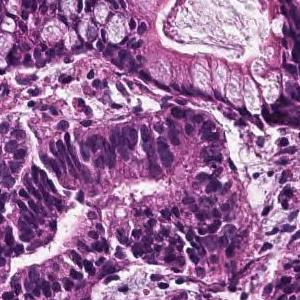
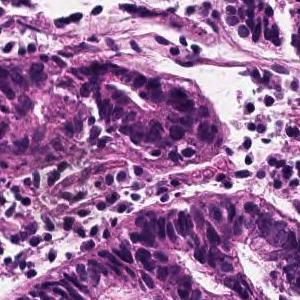
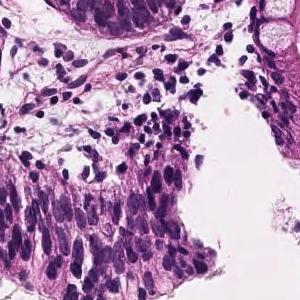
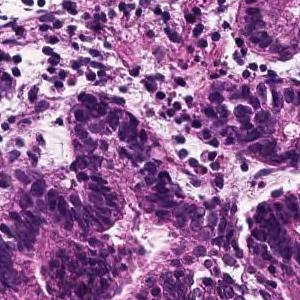
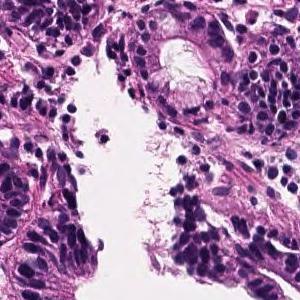
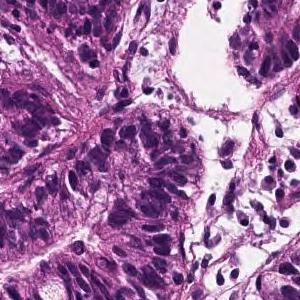
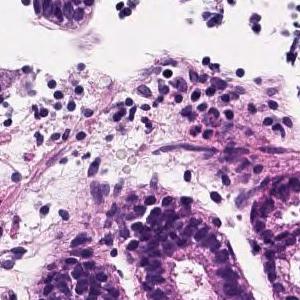
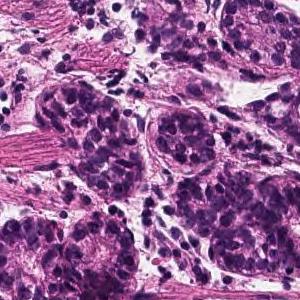
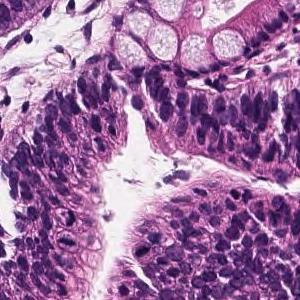
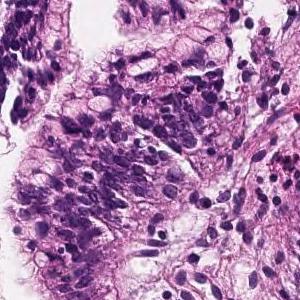
Scanned at ×20, hematoxylin and eosin stain, 10 tiles cut from one stomach biopsy slide.
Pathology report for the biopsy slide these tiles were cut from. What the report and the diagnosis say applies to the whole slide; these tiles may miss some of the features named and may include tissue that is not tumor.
Tumor cells are large, highly columnar, large club-shaped nuclei, and are associated with chromatin aggregation. Papillary adenocarcinoma.
